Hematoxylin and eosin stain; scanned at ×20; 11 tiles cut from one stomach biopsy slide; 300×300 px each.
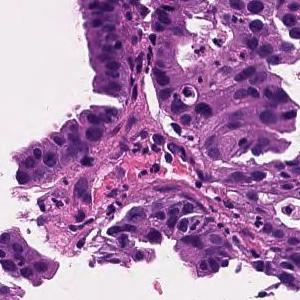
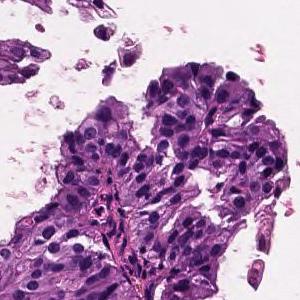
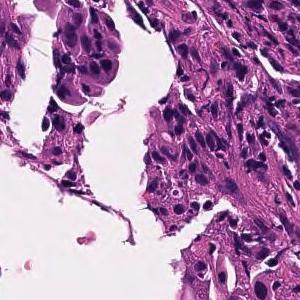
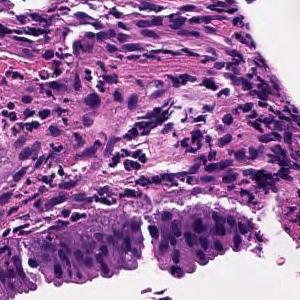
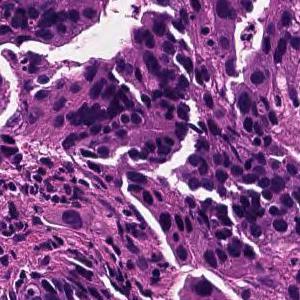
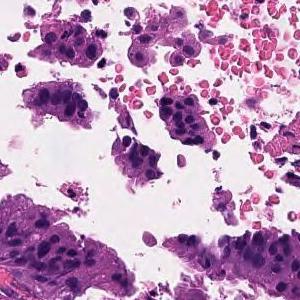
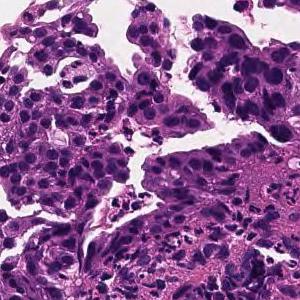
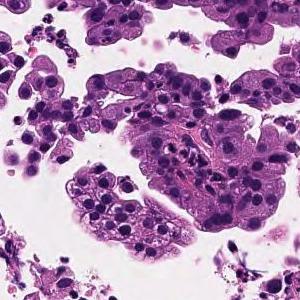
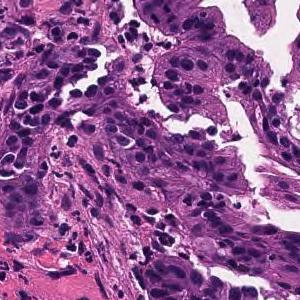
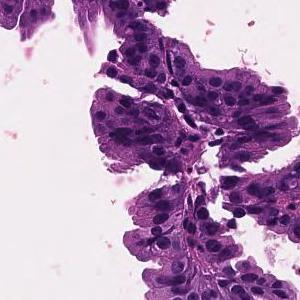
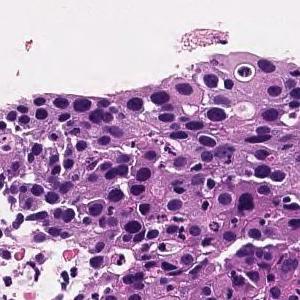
Diagnostic report for the slide these tiles come from. The report describes the whole slide, diagnosis included: not every finding it names need appear in these tiles, which may also show non-tumor tissue.
On the superficial epithelium, tumor tissue consisting of large, irregular glandular ducts partially fused and infiltrated is observed. Well to moderately differentiated tubular adenocarcinoma (well differentiated tubular adenocarcinoma, moderately differentiated tubular adenocarcinoma)
Classified as well to moderately differentiated tubular adenocarcinoma.
